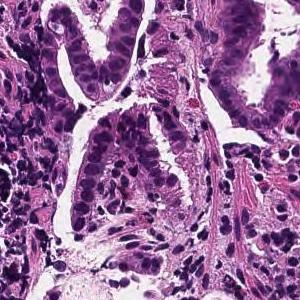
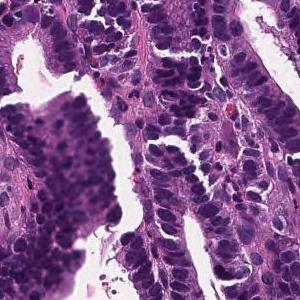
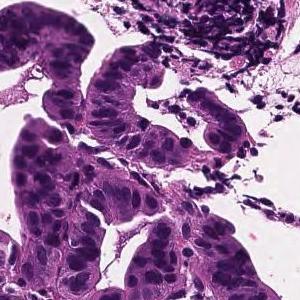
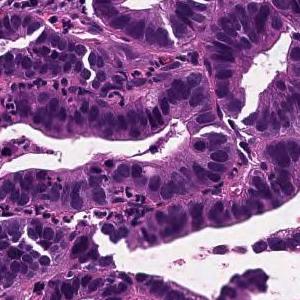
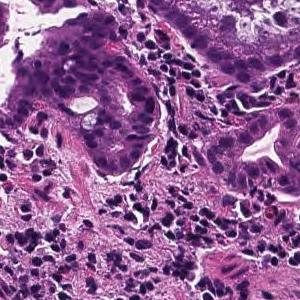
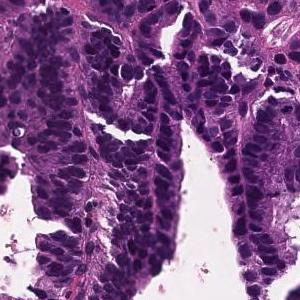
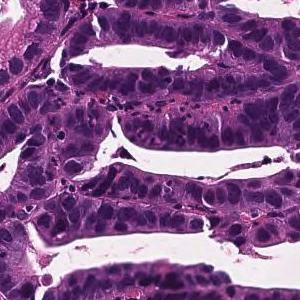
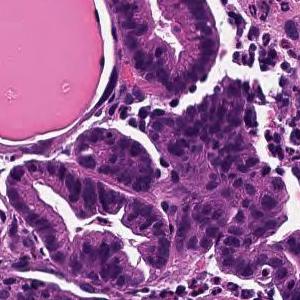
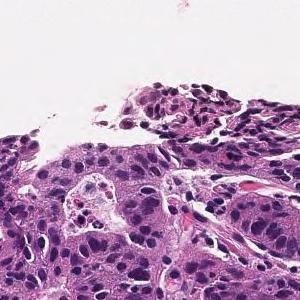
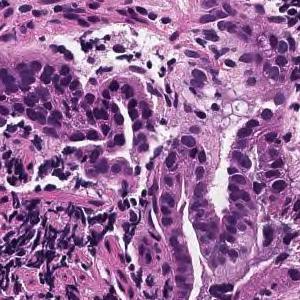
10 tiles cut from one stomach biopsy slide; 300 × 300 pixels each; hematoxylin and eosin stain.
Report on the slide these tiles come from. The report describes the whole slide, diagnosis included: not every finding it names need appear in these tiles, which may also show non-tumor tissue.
From the superficial epithelium to the muscularis mucosae, tumor tissue that invades by forming medium-sized to small irregular gland ducts is observed. Well differentiated tubular adenocarcinoma (well differentiated tubular adenocarcinoma)
Histological subtype: Well differentiated tubular adenocarcinoma.
